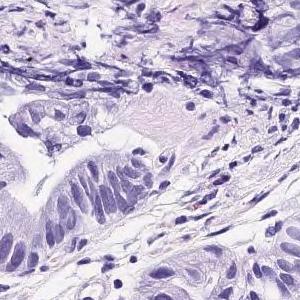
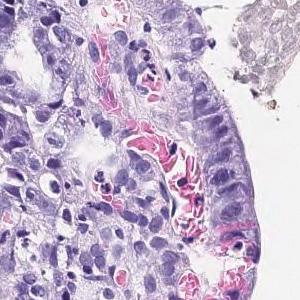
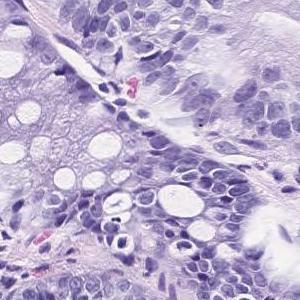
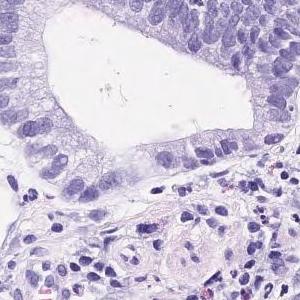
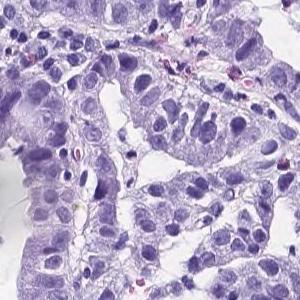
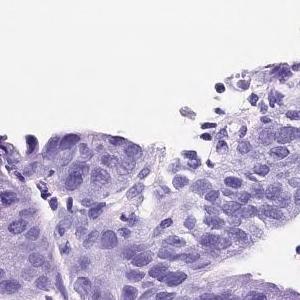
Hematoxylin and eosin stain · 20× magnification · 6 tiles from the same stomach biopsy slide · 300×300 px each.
Diagnostic report for the slide these tiles come from. The report describes the whole slide, diagnosis included: not every finding it names need appear in these tiles, which may also show non-tumor tissue.
Tumor tissue consisting of medium-sized and irregular ducts is observed infiltrating in the superficial epithelium. Tumor cells are highly columnar, with nuclei aligned basolaterally and polarized. Well differentiated tubular adenocarcinoma.
